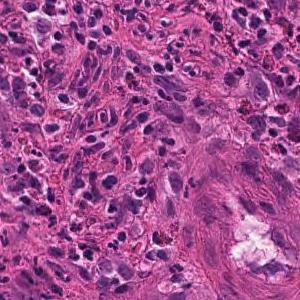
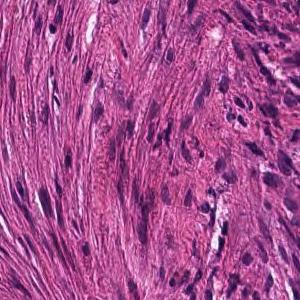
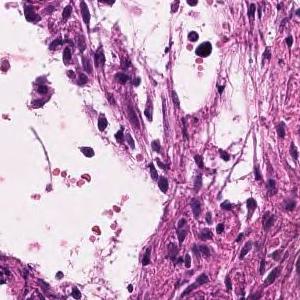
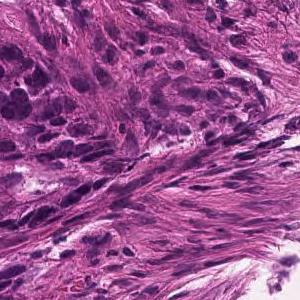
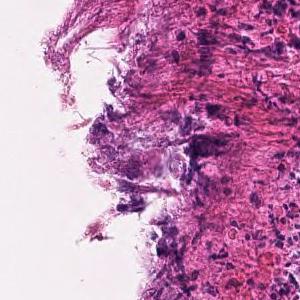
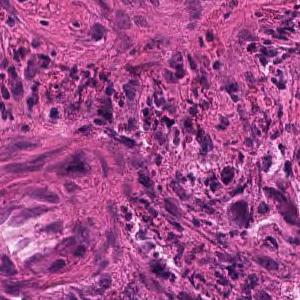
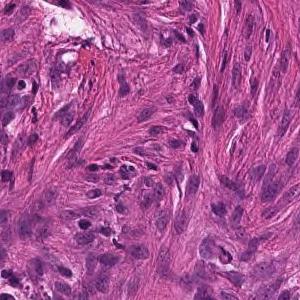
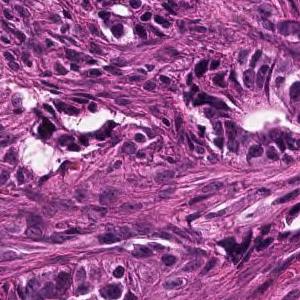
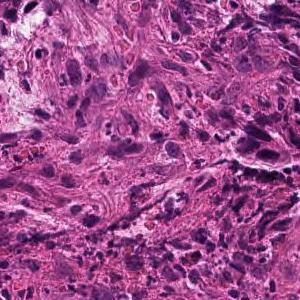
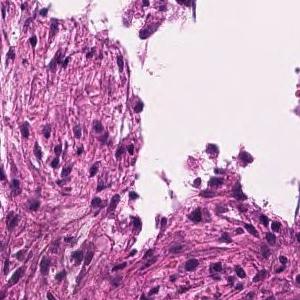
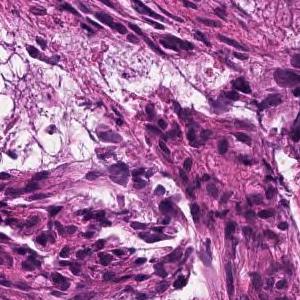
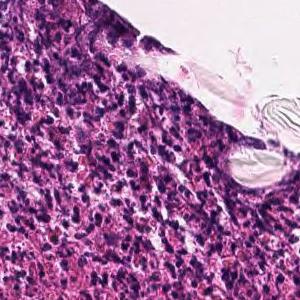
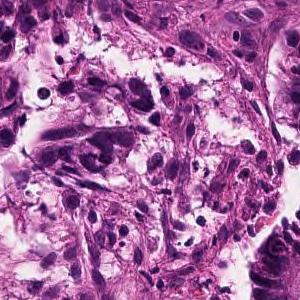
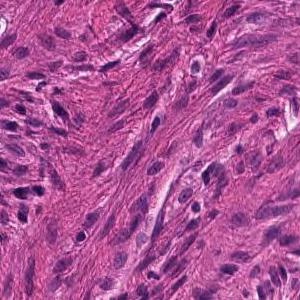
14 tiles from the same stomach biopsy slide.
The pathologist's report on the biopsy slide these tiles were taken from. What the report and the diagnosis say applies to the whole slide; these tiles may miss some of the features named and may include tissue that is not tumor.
In the superficial epithelium, tumor tissue that invades by forming medium-sized to small, irregular ducts is observed. moderately differentiated tubular adenocarcinoma.
